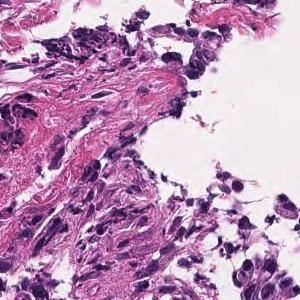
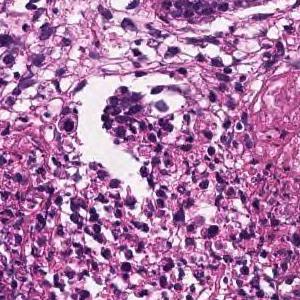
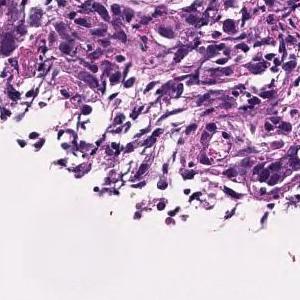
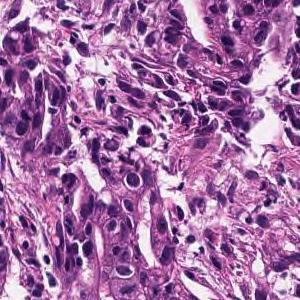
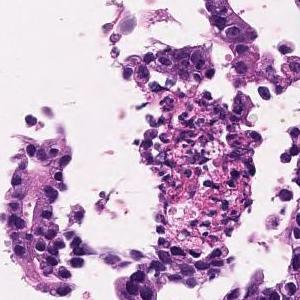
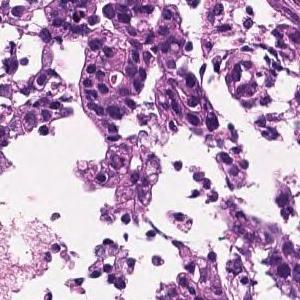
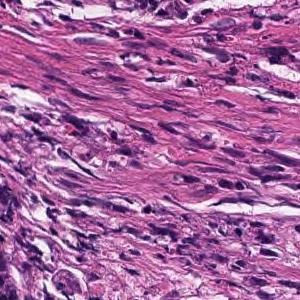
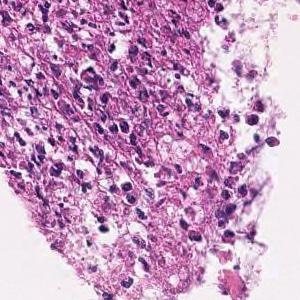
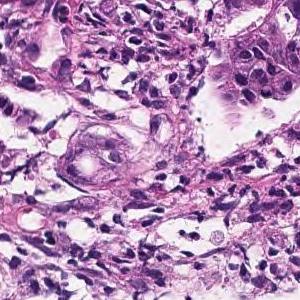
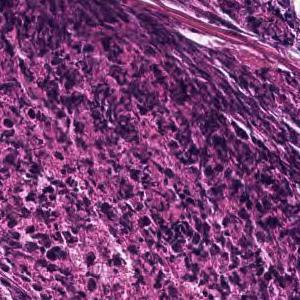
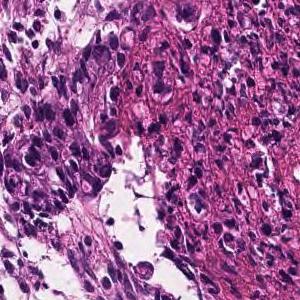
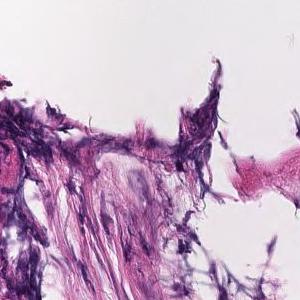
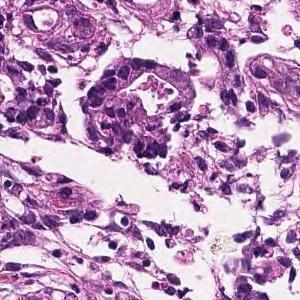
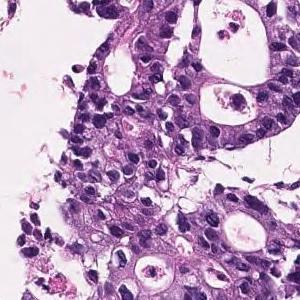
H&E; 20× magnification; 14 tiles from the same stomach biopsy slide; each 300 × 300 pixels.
Report on the slide these tiles come from. The report and the diagnosis cover the entire slide, so not every feature they name need be visible here, and some tissue shown may not be tumor.
In the superficial epithelium, medium to small, irregular gland ducts are formed, and in some cases, the gland ducts are fused to show solid alveolar lesions and infiltrating tumor tissue is observed. Moderately to poorly differentiated adenocarcinoma.
